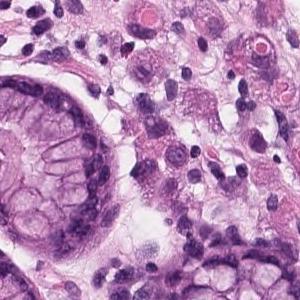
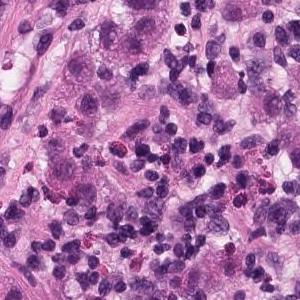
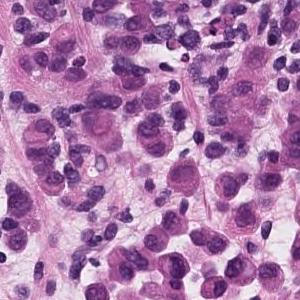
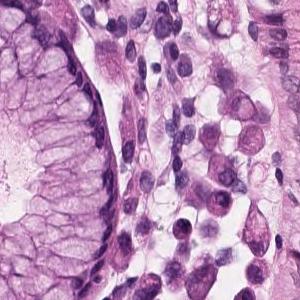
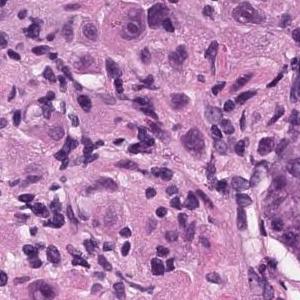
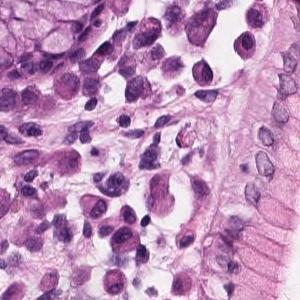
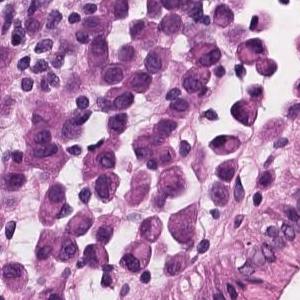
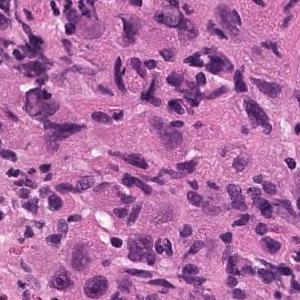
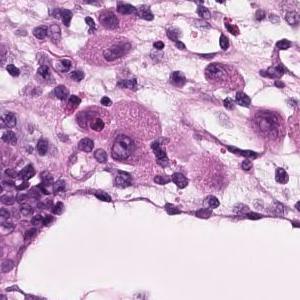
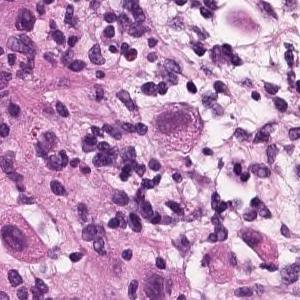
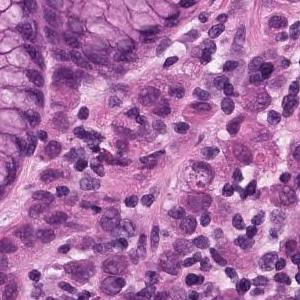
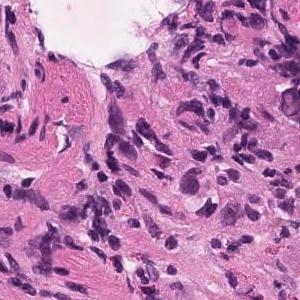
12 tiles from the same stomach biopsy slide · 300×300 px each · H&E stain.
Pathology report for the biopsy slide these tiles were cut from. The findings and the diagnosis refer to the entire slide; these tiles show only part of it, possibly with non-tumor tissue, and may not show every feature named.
Tumor cells with dense chromatin infiltrate and proliferate in the interstitium in an isolated and scattered manner. Poorly differentiated adenocarcinoma
Classified as poorly differentiated adenocarcinoma, solid type, a category of the Japanese Classification of Gastric Carcinoma; in the WHO 2019 classification it is tubular adenocarcinoma, poorly differentiated.
